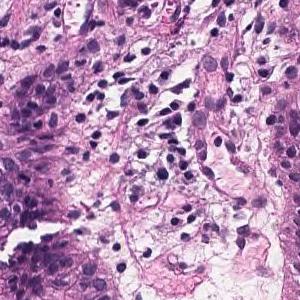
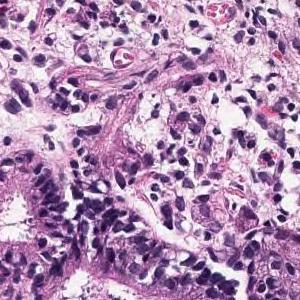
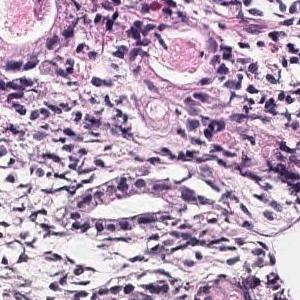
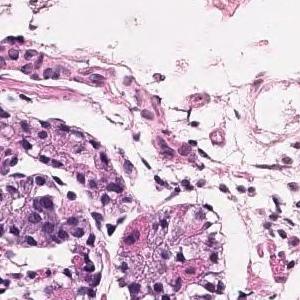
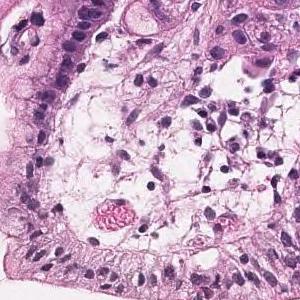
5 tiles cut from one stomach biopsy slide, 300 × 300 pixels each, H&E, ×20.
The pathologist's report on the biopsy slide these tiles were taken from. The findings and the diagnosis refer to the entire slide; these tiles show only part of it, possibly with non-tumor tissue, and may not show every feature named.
Tumor tissue that grows and grows is observed, showing a medium-sized round or irregular duct. moderately differentiated tubular adenocarcinoma
